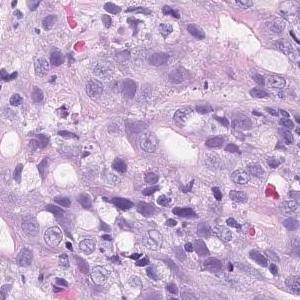
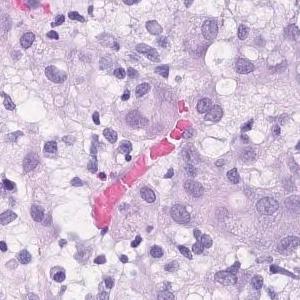
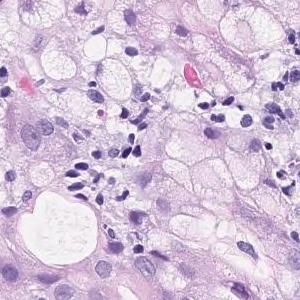
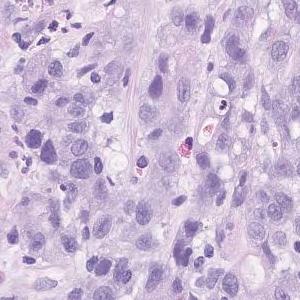
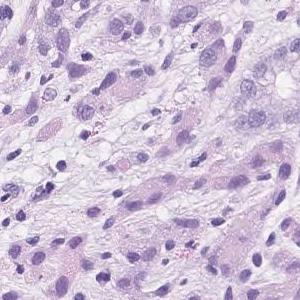
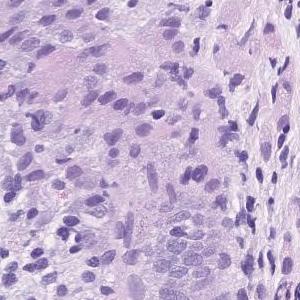
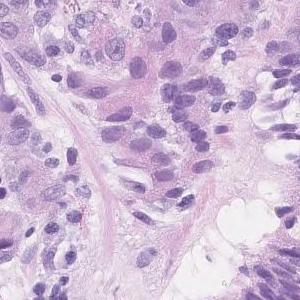
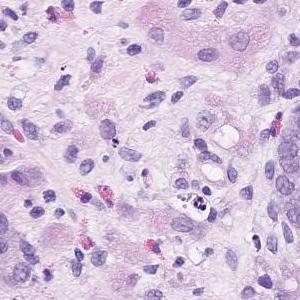
Hematoxylin and eosin stain; 8 image tiles from a single gastric biopsy slide.
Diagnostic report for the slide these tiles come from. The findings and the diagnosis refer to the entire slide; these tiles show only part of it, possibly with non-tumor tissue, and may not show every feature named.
Group 5, Adenocarcinoma. Poorly differentiated adenocarcinoma, non-solid type
"Non-solid type" is a category of the Japanese Classification of Gastric Carcinoma.
